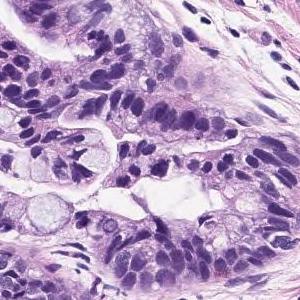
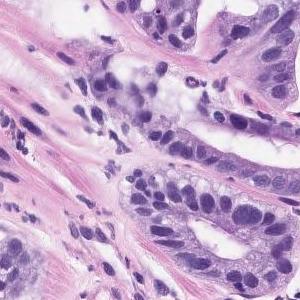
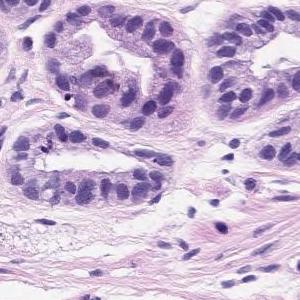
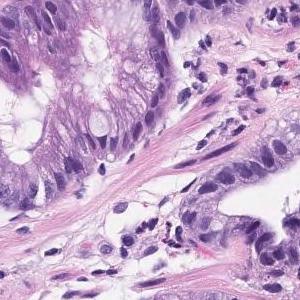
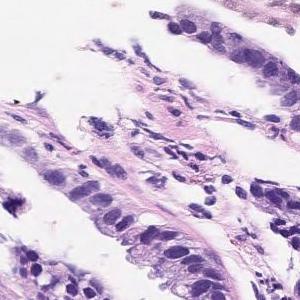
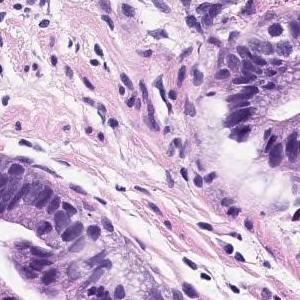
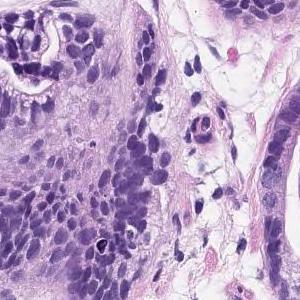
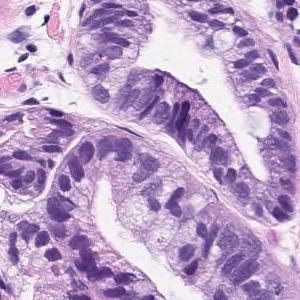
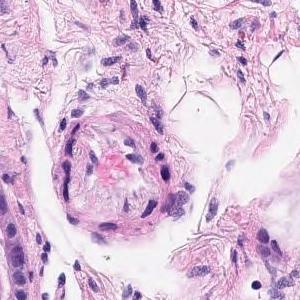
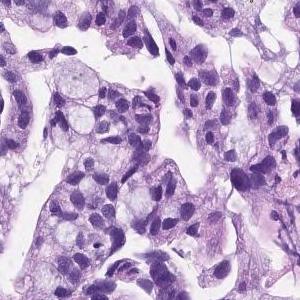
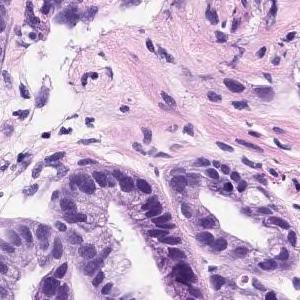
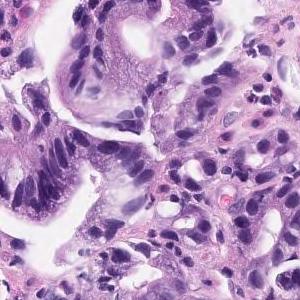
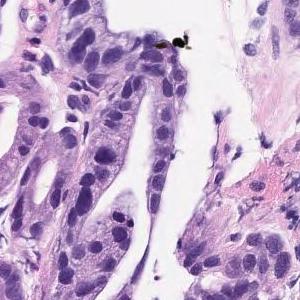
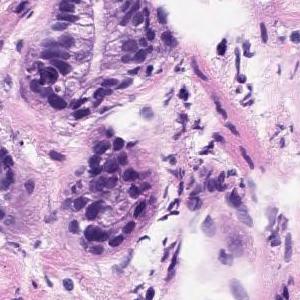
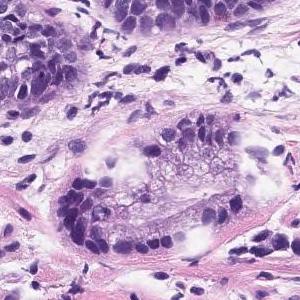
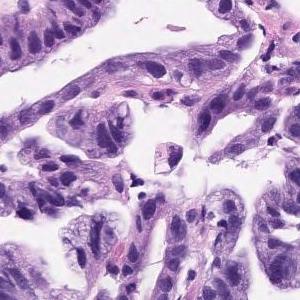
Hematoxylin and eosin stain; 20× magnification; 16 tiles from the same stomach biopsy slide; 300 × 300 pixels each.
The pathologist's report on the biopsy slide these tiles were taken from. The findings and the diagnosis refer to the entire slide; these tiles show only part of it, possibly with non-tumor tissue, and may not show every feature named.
The superficial tumors shows large papillary structures or large and small ducts and infiltrates. Papillary adenocarcinoma.
